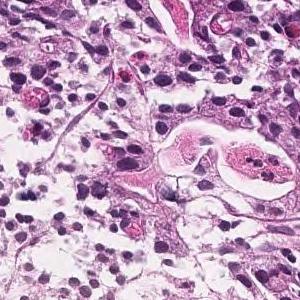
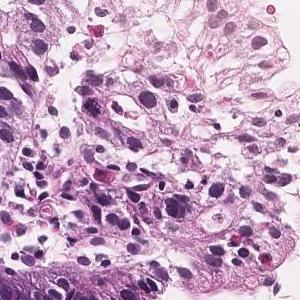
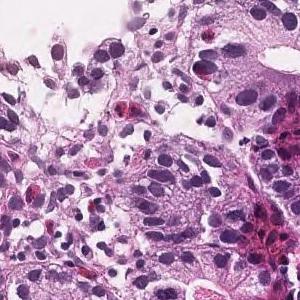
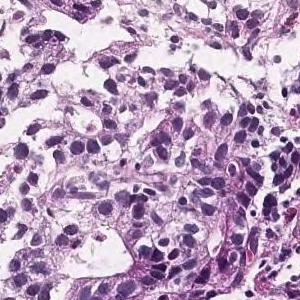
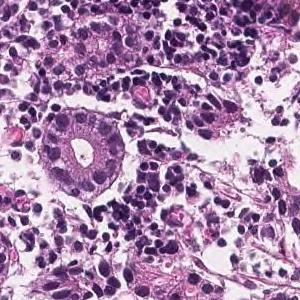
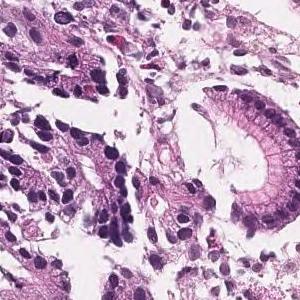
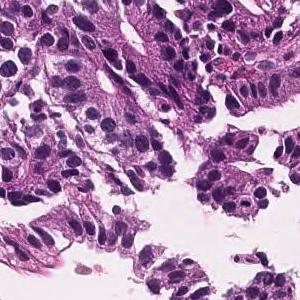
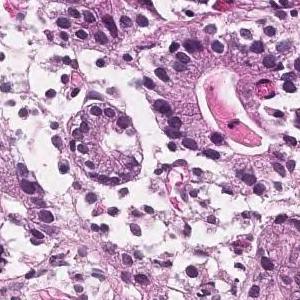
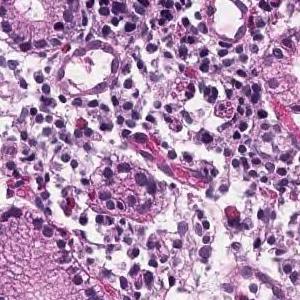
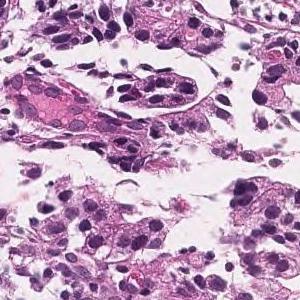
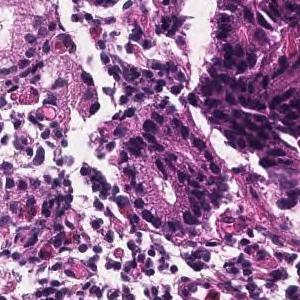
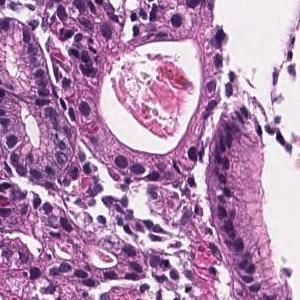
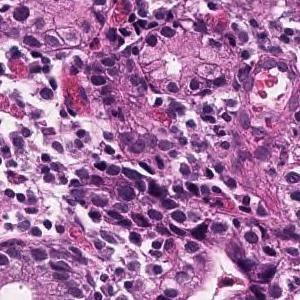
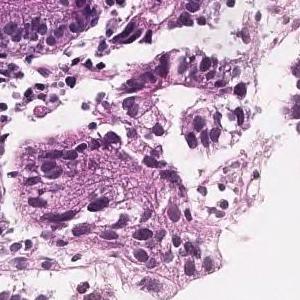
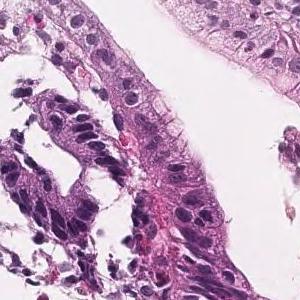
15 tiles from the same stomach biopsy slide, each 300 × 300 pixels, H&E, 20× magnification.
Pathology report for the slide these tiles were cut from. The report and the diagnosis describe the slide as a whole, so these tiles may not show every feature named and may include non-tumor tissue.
Tumor tissue that forms medium-sized, irregular glandular ducts and is papillary and proliferate is observed confined to the mucosal epithelium. moderately differentiated tubular adenocarcinoma.
